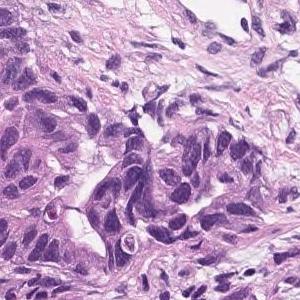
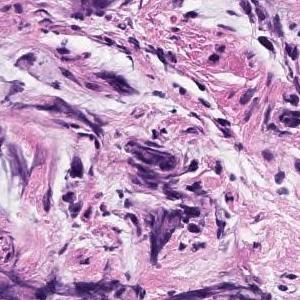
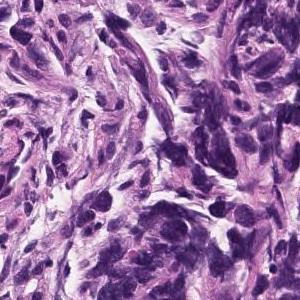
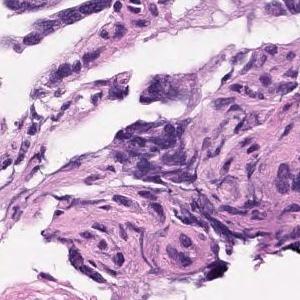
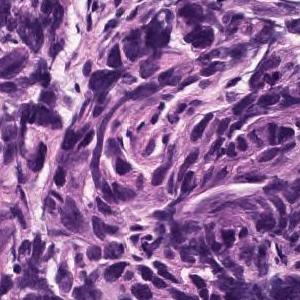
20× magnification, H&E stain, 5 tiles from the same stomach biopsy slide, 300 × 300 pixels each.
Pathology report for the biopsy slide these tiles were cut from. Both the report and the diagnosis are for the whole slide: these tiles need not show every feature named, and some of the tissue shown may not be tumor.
Atypical l cells with atypical nuclei under the mucosa growing in isolation and scattered. Moderately to poorly differentiated adenocarcinoma (moderately differentiated tubular adenocarcinoma poorly differentiated adenocarcinoma, solid type)
Histological subtype: Moderately to poorly differentiated adenocarcinoma.
The term "solid type" comes from the Japanese Classification of Gastric Carcinoma; the WHO 2019 equivalent is tubular adenocarcinoma, poorly differentiated.
